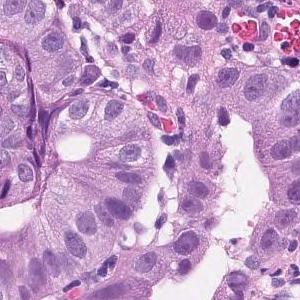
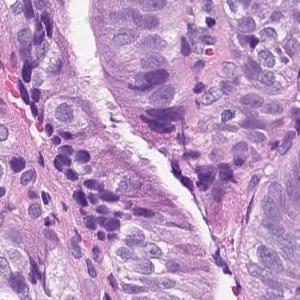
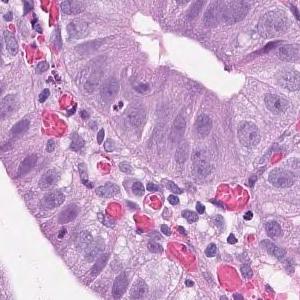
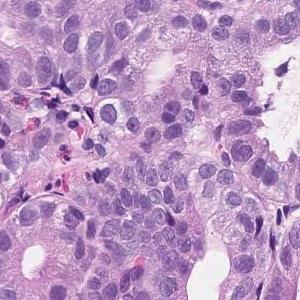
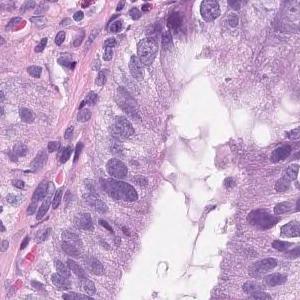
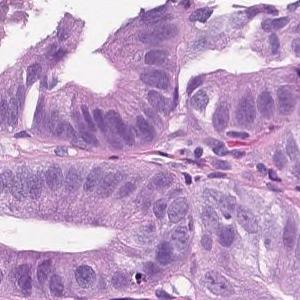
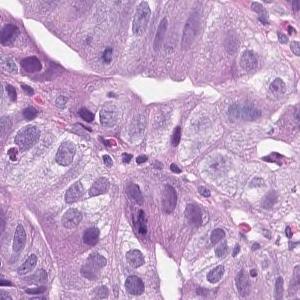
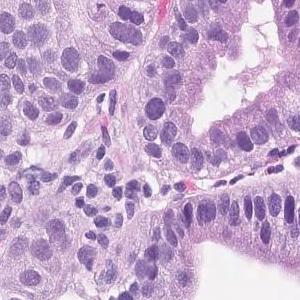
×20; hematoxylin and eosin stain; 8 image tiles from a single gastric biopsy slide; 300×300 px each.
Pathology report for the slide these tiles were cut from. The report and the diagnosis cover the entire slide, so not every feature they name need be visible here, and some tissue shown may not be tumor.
Tumor tissue consisting of medium-sized and irregular ducts is observed infiltrating in the superficial epithelium. Tumor cells are highly columnar, with nuclei aligned basolaterally and polarized. Well differentiated tubular adenocarcinoma.
